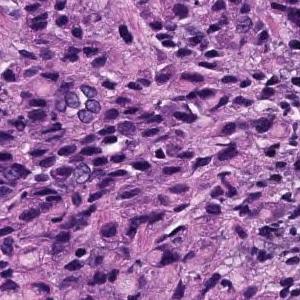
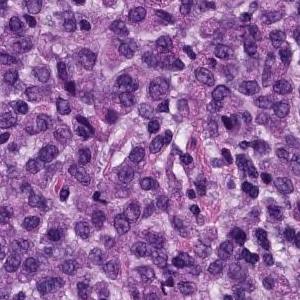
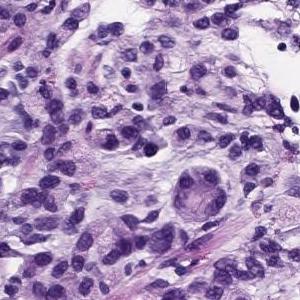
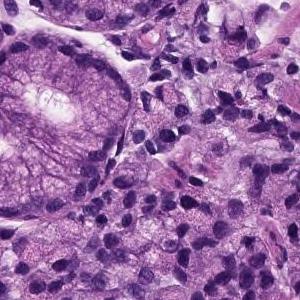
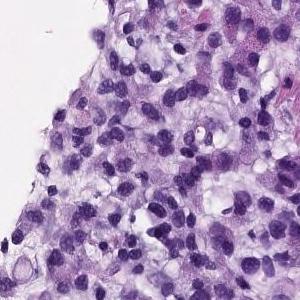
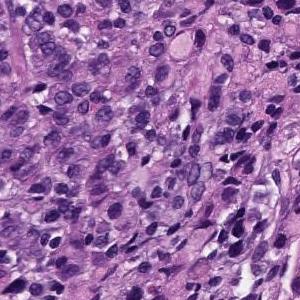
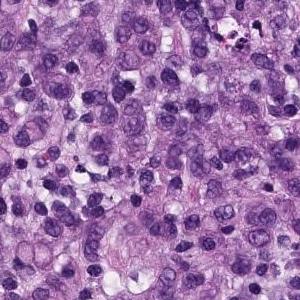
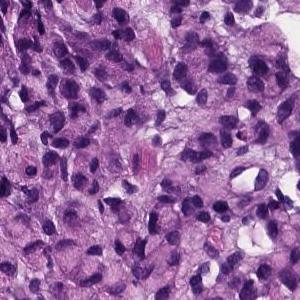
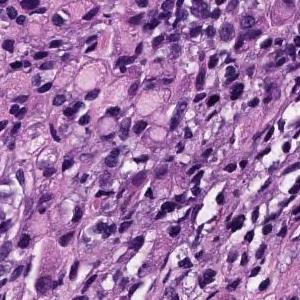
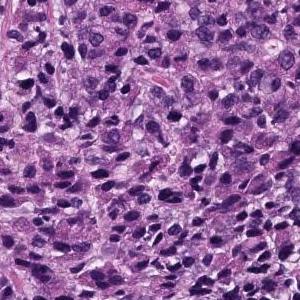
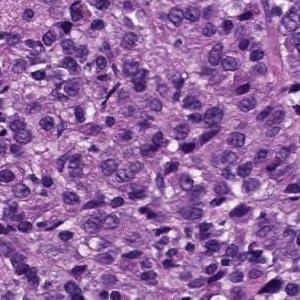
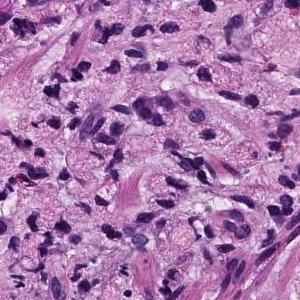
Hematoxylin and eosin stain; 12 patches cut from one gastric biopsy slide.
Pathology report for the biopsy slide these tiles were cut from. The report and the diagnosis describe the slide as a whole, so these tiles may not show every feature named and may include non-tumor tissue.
The superficial epithelium shows a large sheet-like shape, and some tumor tissue infiltrates with small irregular ducts. Poorly differentiated adenocarcinoma, solid-type
Histologic type: Poorly differentiated adenocarcinoma, solid type (Japanese Classification of Gastric Carcinoma). The WHO 2019 equivalent is tubular adenocarcinoma, poorly differentiated.
